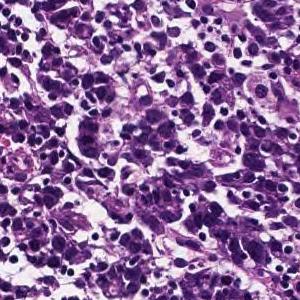
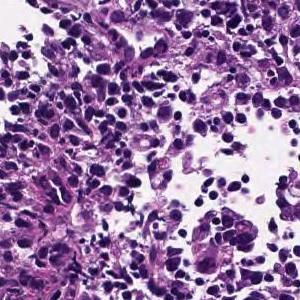
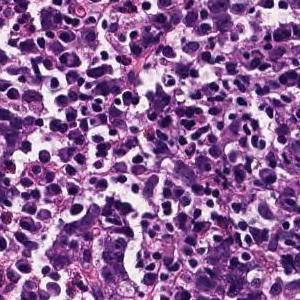
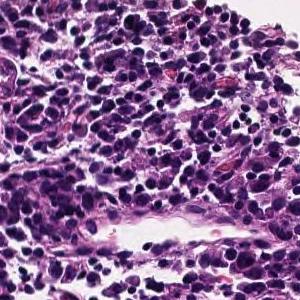
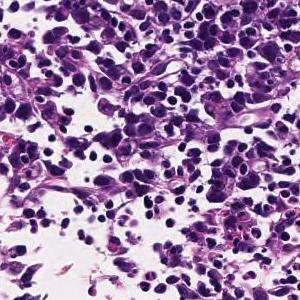
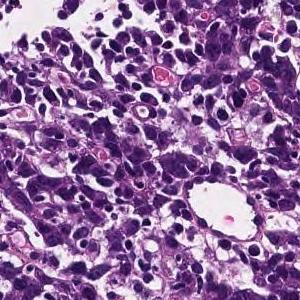
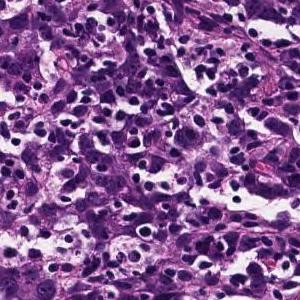
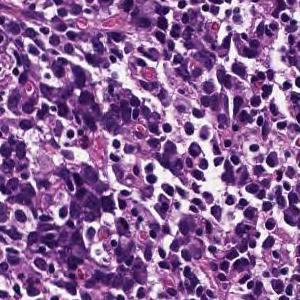
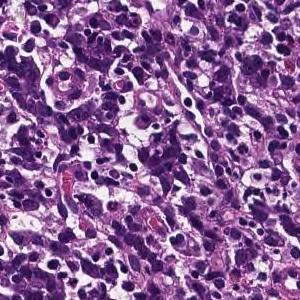
H&E stain · scanned at ×20 · 9 tiles cut from one stomach biopsy slide · 300×300 px each.
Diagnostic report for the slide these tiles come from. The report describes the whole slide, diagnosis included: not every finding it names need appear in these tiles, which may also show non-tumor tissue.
Tumor tissue consisting of cord-like or small, irregular glandular ducts fused and infiltrated is observed in the superficial epithelium. Poorly differentiated adenocarcinoma, non-solid type
The non-solid type named here is a Japanese Classification of Gastric Carcinoma category.
